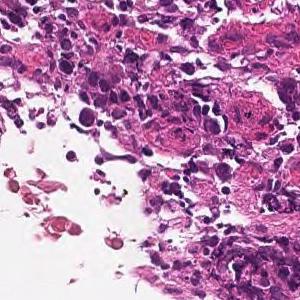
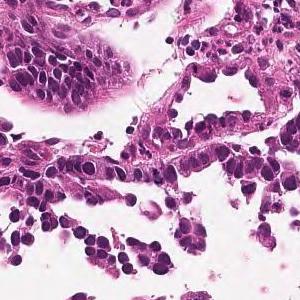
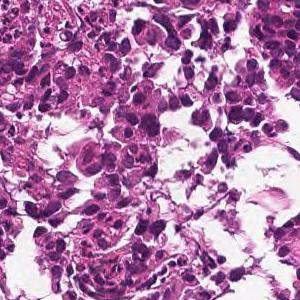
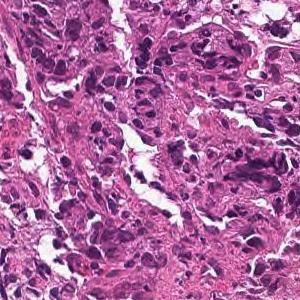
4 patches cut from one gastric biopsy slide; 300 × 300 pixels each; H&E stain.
Pathology report for the biopsy slide these tiles were cut from. Both the report and the diagnosis are for the whole slide: these tiles need not show every feature named, and some of the tissue shown may not be tumor.
Tumor tissue consisting of medium-sized, cord-like or irregular glandular infiltration is observed in the superficial epithelium. Poorly differentiated adenocarcinoma, non-solid type or moderately differentiated tubular adenocarcinoma
Histologic type: Moderately to poorly differentiated adenocarcinoma.
The term "non-solid type" comes from the Japanese Classification of Gastric Carcinoma.
